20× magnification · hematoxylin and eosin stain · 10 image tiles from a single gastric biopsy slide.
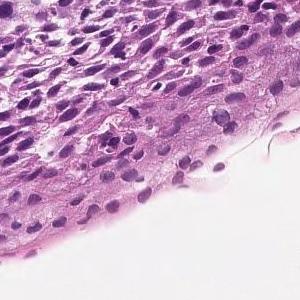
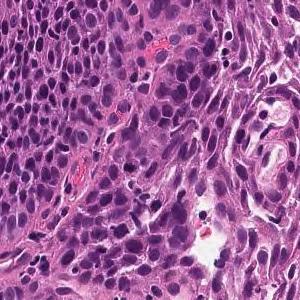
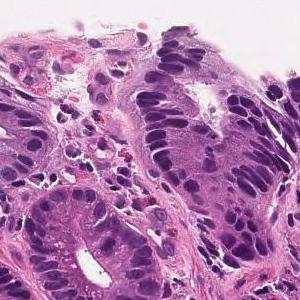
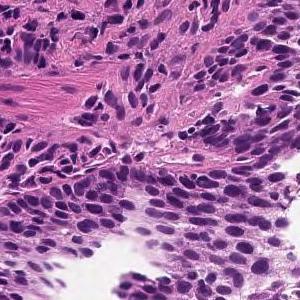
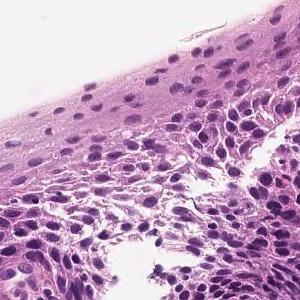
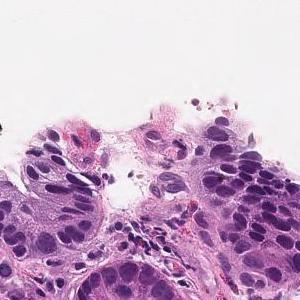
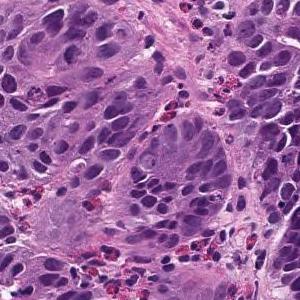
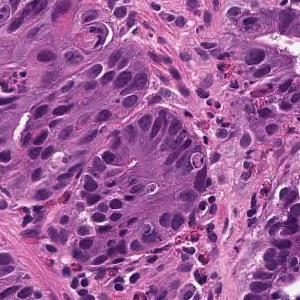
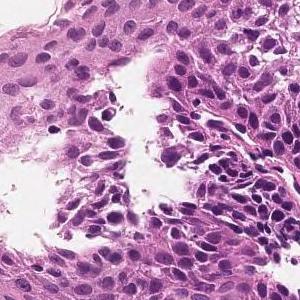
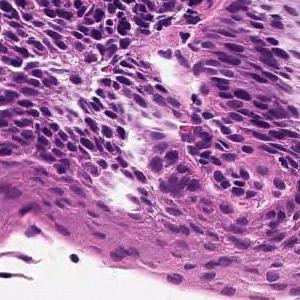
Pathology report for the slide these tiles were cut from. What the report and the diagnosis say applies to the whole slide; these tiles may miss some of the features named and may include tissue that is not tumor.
On the superficial epithelium, tumor tissue is found in which medium-sized irregular gland ducts fuse with each other and infiltrate. moderately differentiated tubular adenocarcinoma
